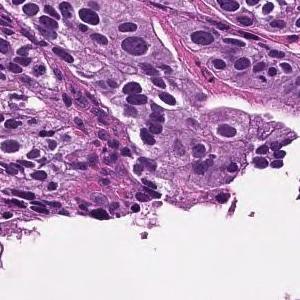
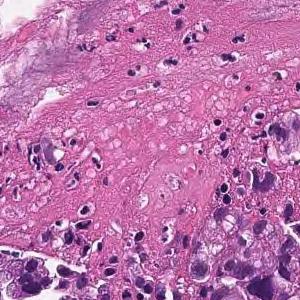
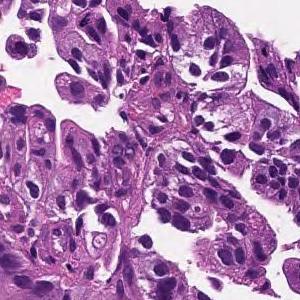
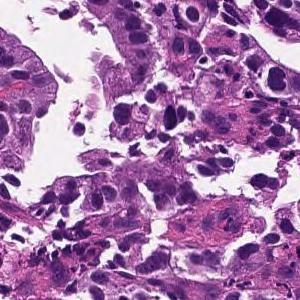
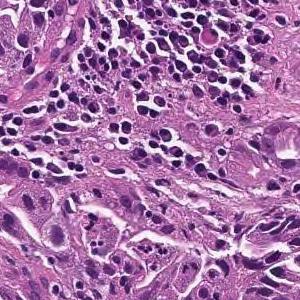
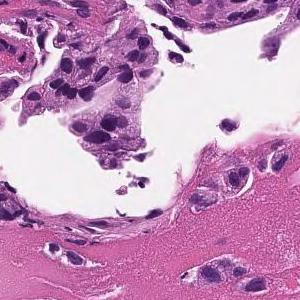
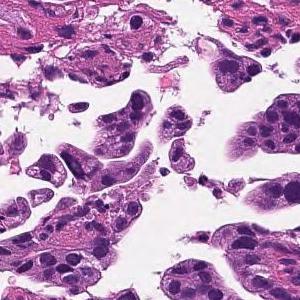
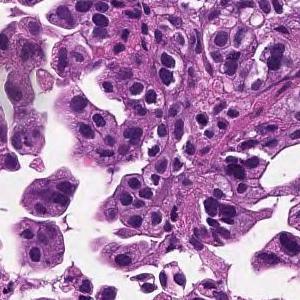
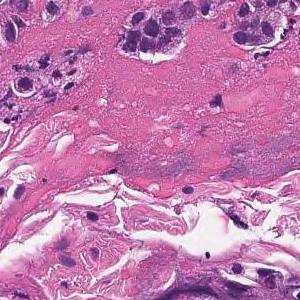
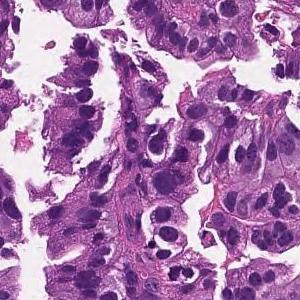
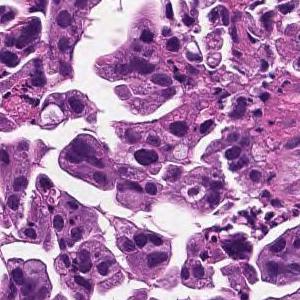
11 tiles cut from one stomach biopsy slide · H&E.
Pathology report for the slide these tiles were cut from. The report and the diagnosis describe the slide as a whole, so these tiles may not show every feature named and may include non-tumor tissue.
Medium to small, irregular glandular ducts are formed in the superficial epithelium, and in some cases, the glandular ducts are fused to show solid alveolar lesions and infiltrating tumor tissue is observed. Moderately to poorly differentiated adenocarcinoma.
